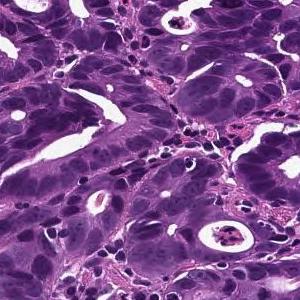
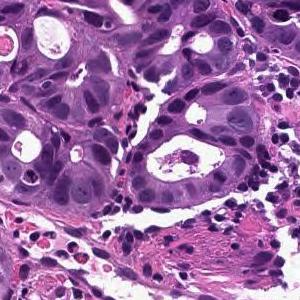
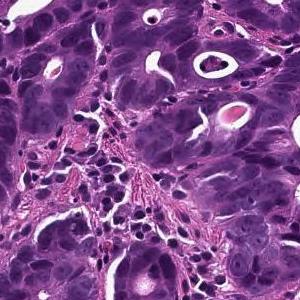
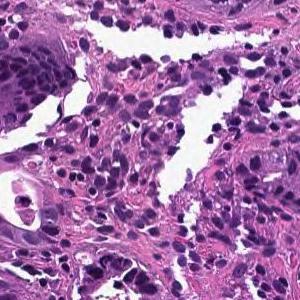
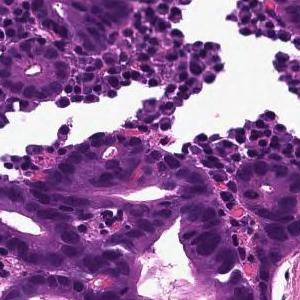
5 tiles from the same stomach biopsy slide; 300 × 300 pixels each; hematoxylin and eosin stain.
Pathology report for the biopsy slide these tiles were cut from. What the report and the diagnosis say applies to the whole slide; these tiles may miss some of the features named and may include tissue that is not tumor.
From the superficial epithelium to the muscularis mucosae, tumor tissue consisting of medium-sized and irregular glandular ducts infiltrating is observed. Well differentiated tubular adenocarcinoma
